15 patches cut from one gastric biopsy slide.
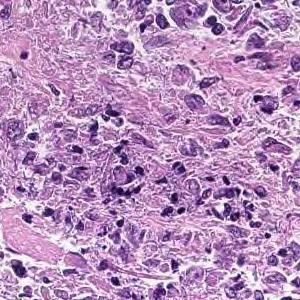
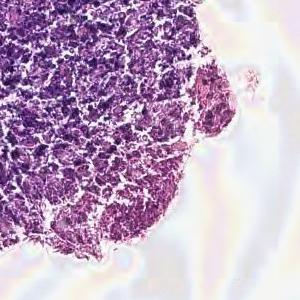
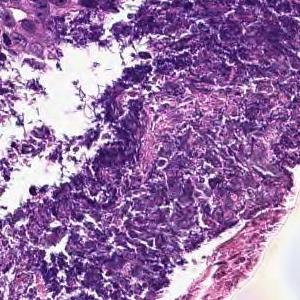
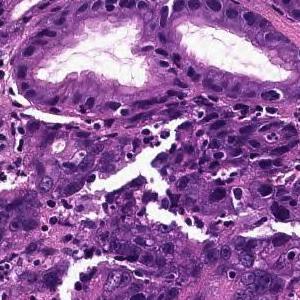
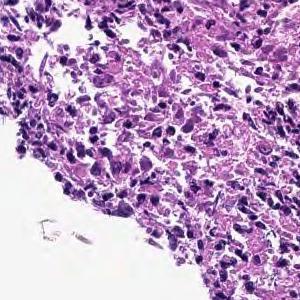
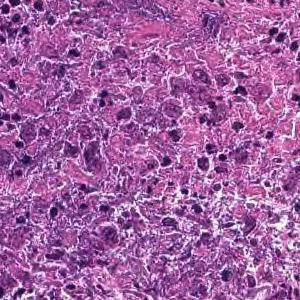
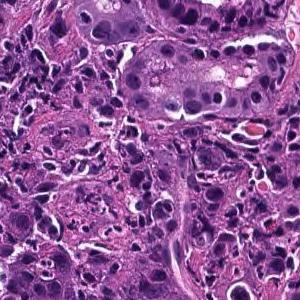
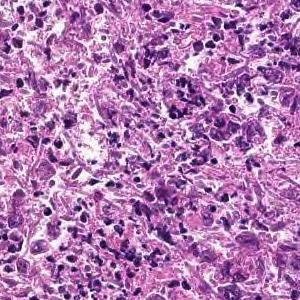
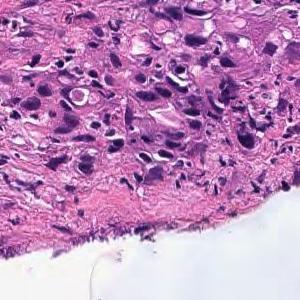
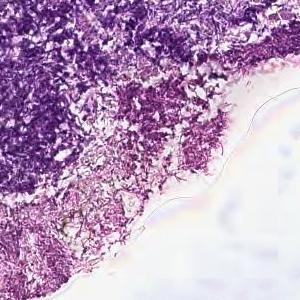
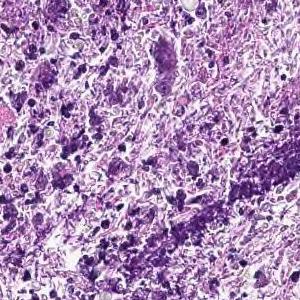
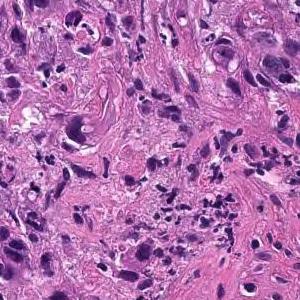
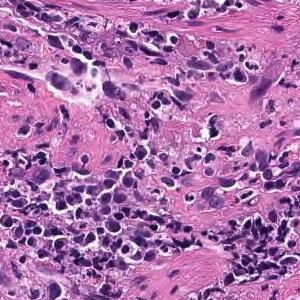
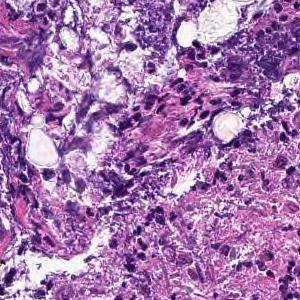
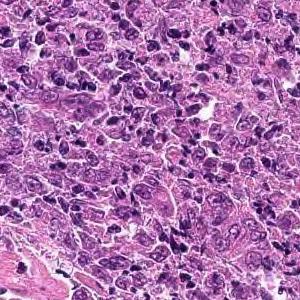
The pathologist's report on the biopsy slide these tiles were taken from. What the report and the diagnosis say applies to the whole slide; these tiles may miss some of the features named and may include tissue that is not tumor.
Cancers with polygonal nuclei do not show glandular formation and are densely, in part, cord-like and proliferate. Poorly differentiated adenocarcinoma
Subtype: Poorly differentiated adenocarcinoma, non-solid type.
"Non-solid type" is a category of the Japanese Classification of Gastric Carcinoma.
